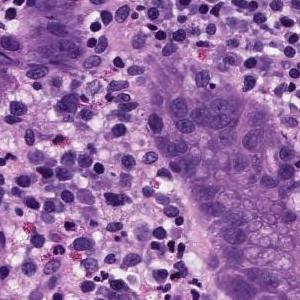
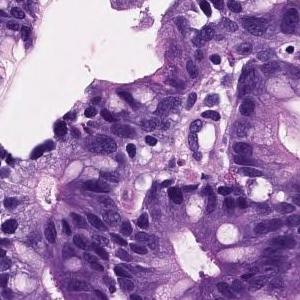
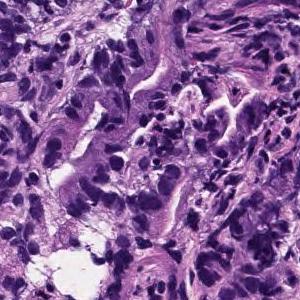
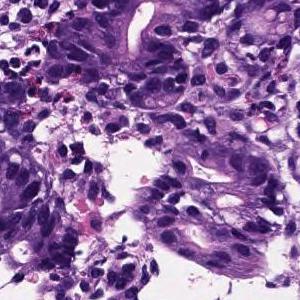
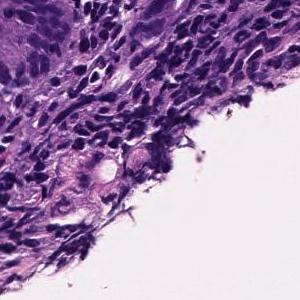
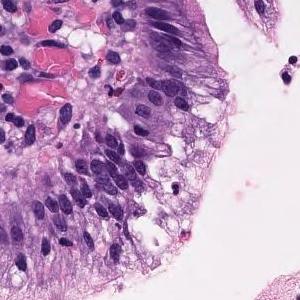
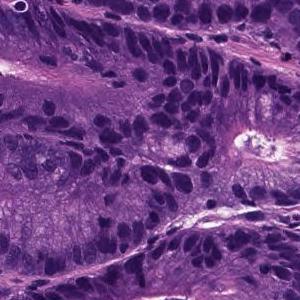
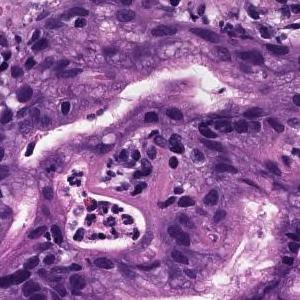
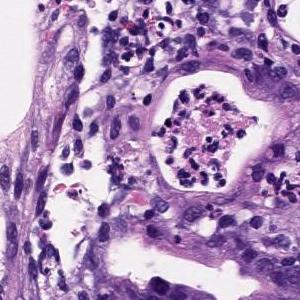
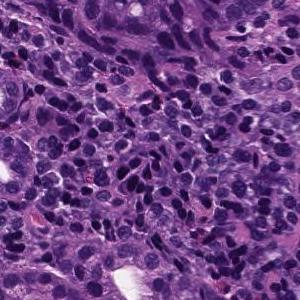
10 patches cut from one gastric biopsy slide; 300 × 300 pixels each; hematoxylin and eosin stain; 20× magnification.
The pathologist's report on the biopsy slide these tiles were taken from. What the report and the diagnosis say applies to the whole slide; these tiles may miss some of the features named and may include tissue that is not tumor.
Medium to small, irregular glandular ducts are formed in the superficial epithelium, and in some cases, the glandular ducts are fused to show solid alveolar lesions and infiltrating tumor tissue is observed. Moderately to poorly differentiated adenocarcinoma.
